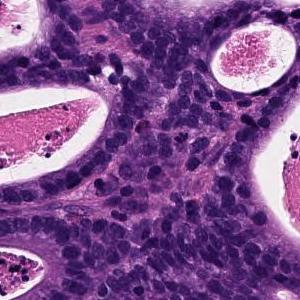
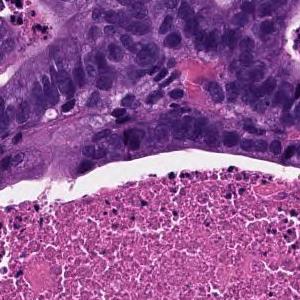
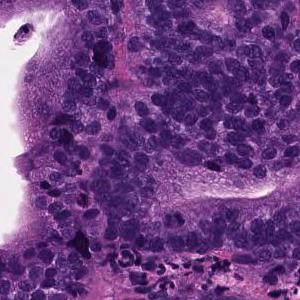
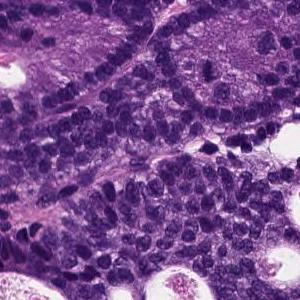
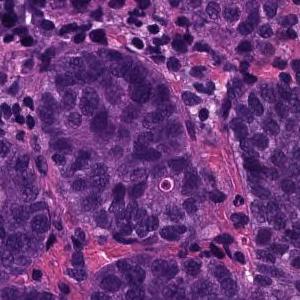
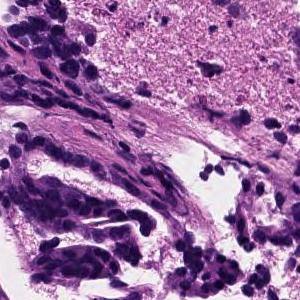
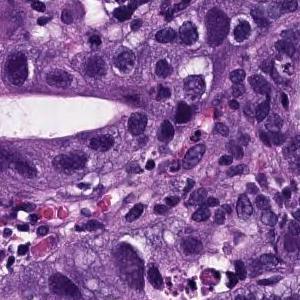
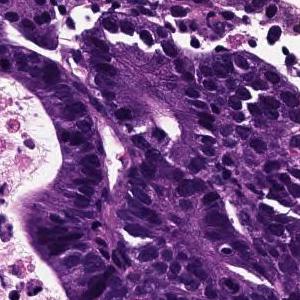
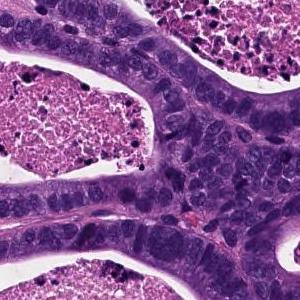
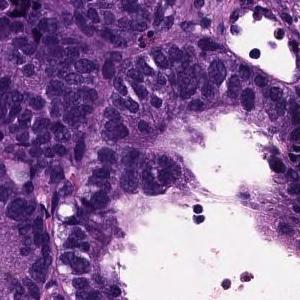
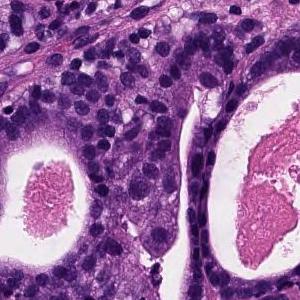
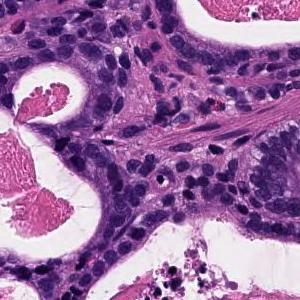
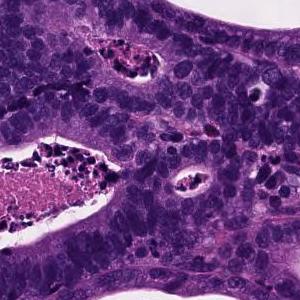
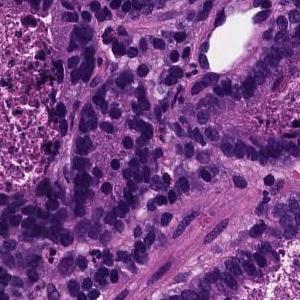
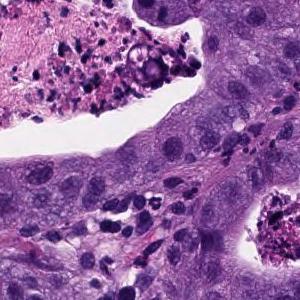
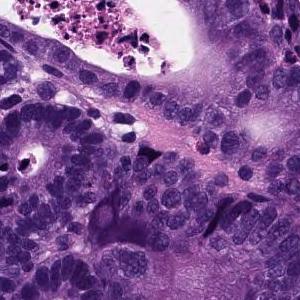
Hematoxylin and eosin stain · scanned at ×20 · 16 tiles from the same stomach biopsy slide · 300 × 300 pixels each.
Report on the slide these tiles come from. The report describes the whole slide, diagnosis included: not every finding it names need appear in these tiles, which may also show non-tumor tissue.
From the superficial epithelium to the muscularis mucosae, tumor tissue consisting of medium-sized and irregular glandular ducts infiltrating is observed. Well differentiated tubular adenocarcinoma
